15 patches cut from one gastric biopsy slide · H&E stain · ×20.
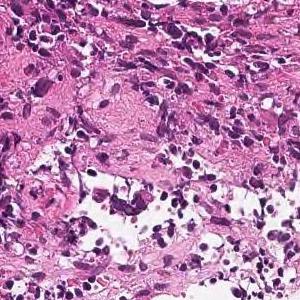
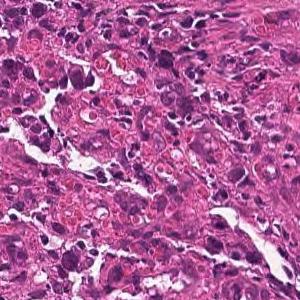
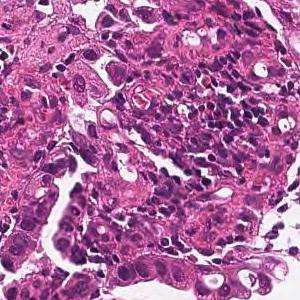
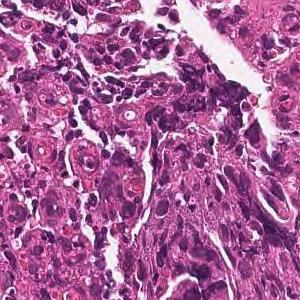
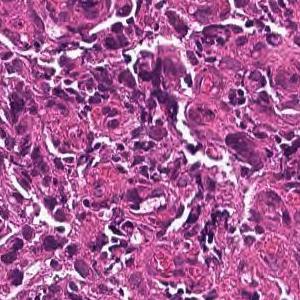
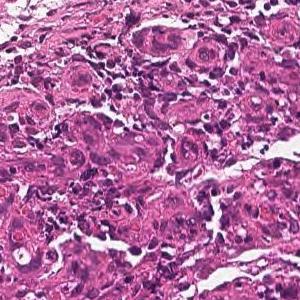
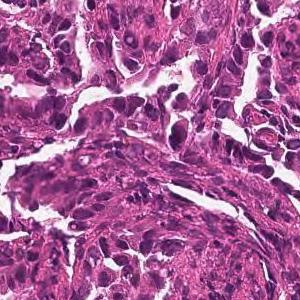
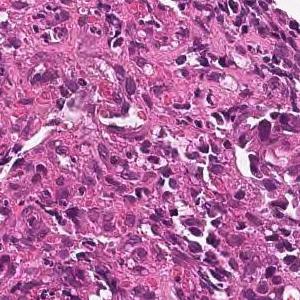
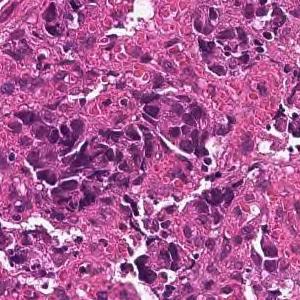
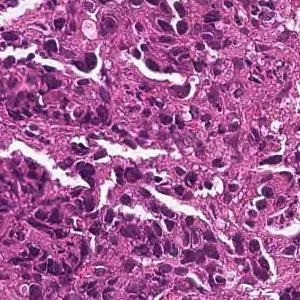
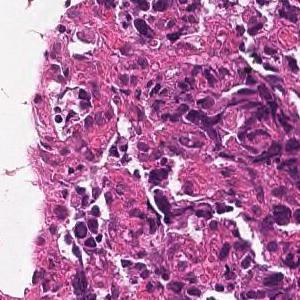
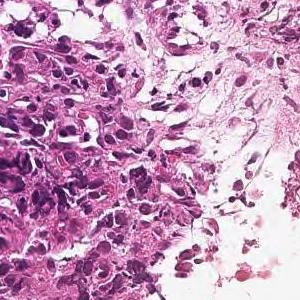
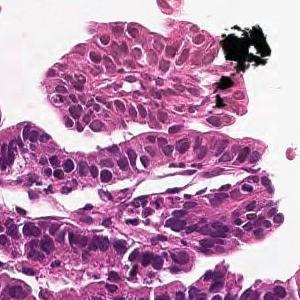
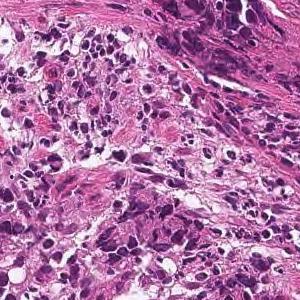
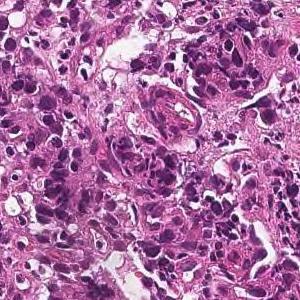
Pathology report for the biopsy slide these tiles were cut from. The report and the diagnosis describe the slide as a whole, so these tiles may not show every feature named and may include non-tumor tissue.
Tumor tissue consisting of medium-sized, cord-like or irregular glandular infiltration is observed in the superficial epithelium. Poorly differentiated adenocarcinoma, non-solid type or moderately differentiated tubular adenocarcinoma
Subtype: Moderately to poorly differentiated adenocarcinoma.
The non-solid type named here is a Japanese Classification of Gastric Carcinoma category.
